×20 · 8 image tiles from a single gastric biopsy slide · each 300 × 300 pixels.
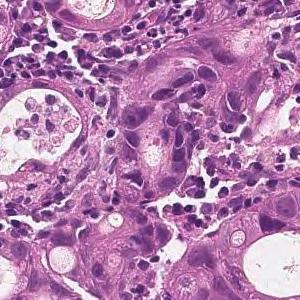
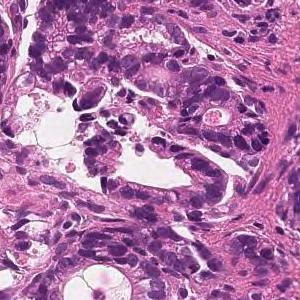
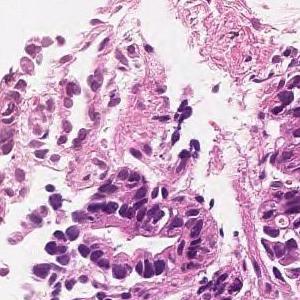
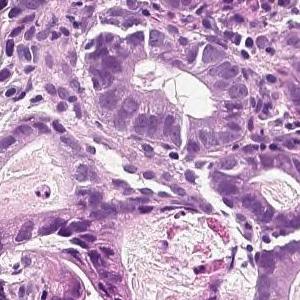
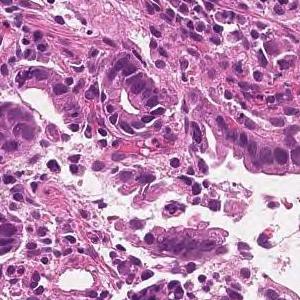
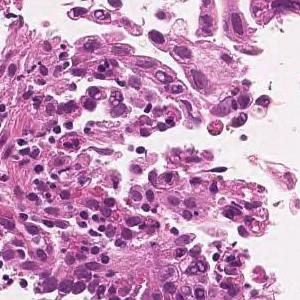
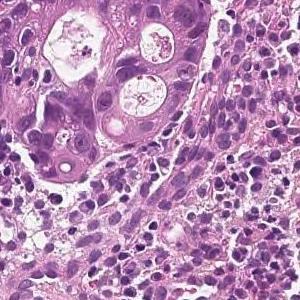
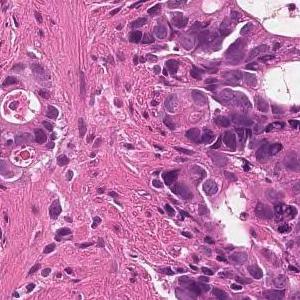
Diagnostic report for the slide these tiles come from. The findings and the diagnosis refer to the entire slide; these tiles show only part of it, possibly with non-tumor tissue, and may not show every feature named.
On the superficial epithelium, tumor tissue is found in which medium-sized irregular gland ducts fuse with each other and infiltrate. moderately differentiated tubular adenocarcinoma
